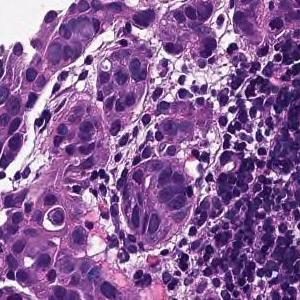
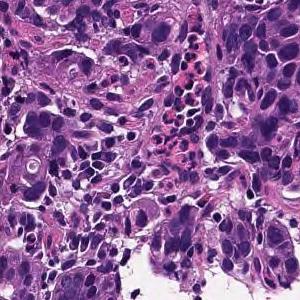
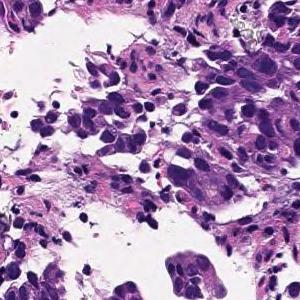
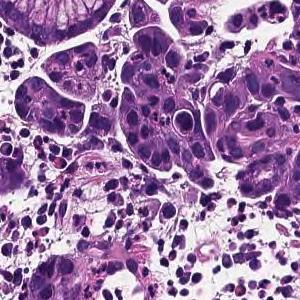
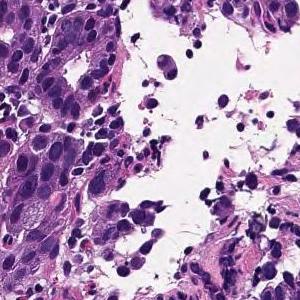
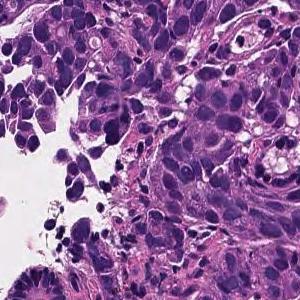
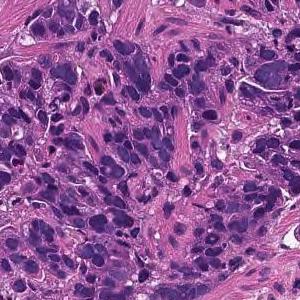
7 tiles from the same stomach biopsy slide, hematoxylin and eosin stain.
Diagnostic report for the slide these tiles come from. The report and the diagnosis cover the entire slide, so not every feature they name need be visible here, and some tissue shown may not be tumor.
The superficial epithelium shows small cord-like infiltrating tumor tissue. There is no mucin production in tumor cells. Poorly differentiated adenocarcinoma, non-solid type
"Non-solid type" is a category of the Japanese Classification of Gastric Carcinoma.
